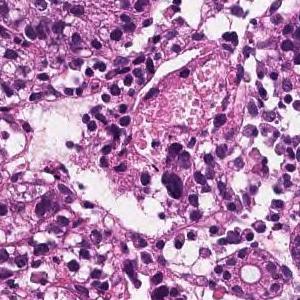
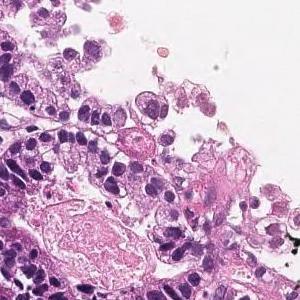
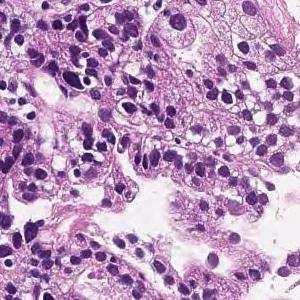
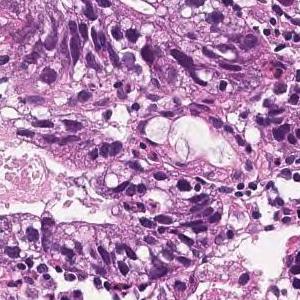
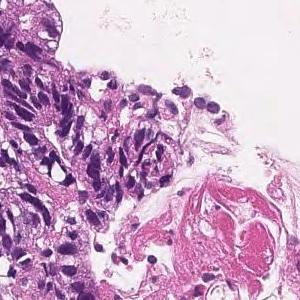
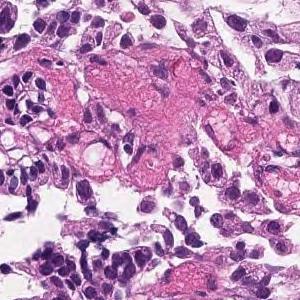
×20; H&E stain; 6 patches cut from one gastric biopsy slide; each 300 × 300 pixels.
Pathology report for the biopsy slide these tiles were cut from. The report and the diagnosis describe the slide as a whole, so these tiles may not show every feature named and may include non-tumor tissue.
In the superficial epithelium, tumor tissue that invades by forming medium-sized to small, irregular ducts is observed. moderately differentiated tubular adenocarcinoma.
